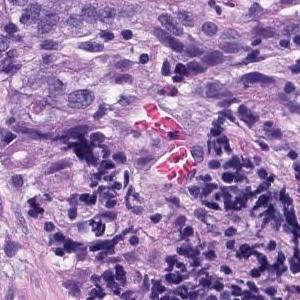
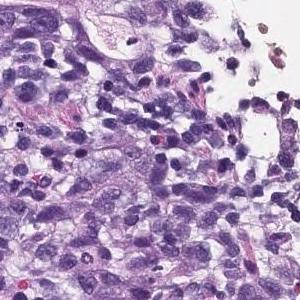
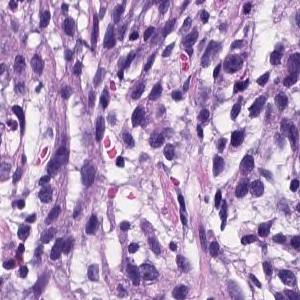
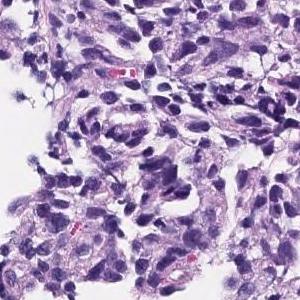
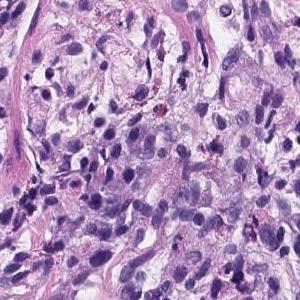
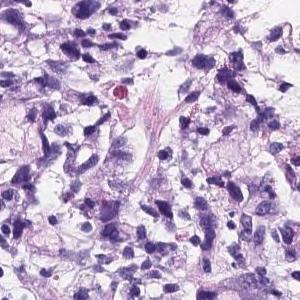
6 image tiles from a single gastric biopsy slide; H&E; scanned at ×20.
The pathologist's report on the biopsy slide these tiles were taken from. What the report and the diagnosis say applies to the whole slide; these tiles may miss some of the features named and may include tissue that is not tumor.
There are atypical l cells with atypical nuclei forming cord-like or irregular atypical ducts from solidity and proliferating in a comprehensive manner. Poorly differentiated adenocarcinoma, Moderately differentiated adenocarcinoma (poorly differentiated adenocarcinoma, solid type moderately differentiated tubular adenocarcinoma)
Histologic type: Moderately to poorly differentiated adenocarcinoma.
The solid type named here is a Japanese Classification of Gastric Carcinoma category; WHO 2019 calls it tubular adenocarcinoma, poorly differentiated.
